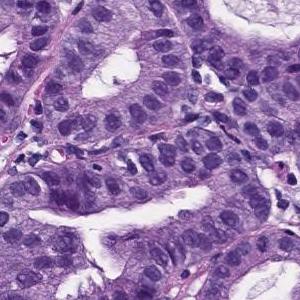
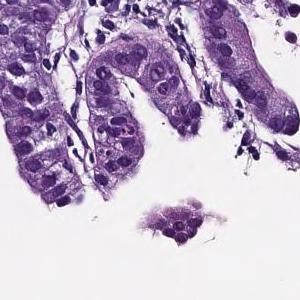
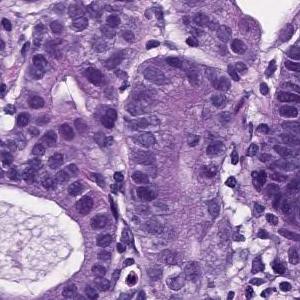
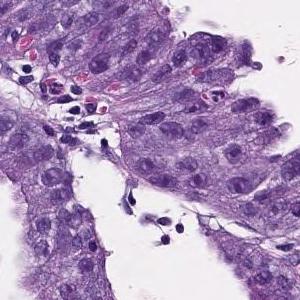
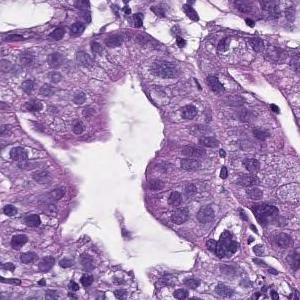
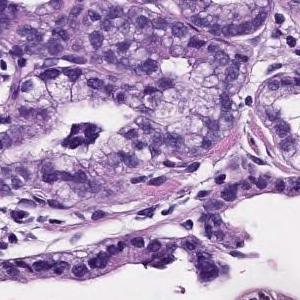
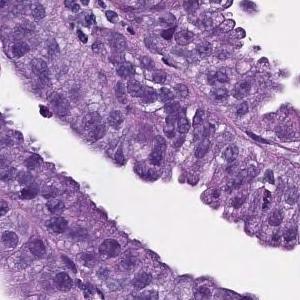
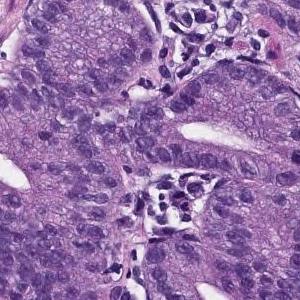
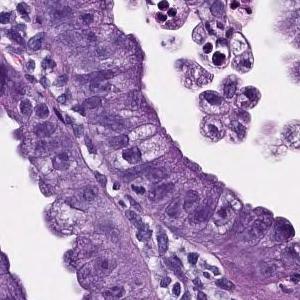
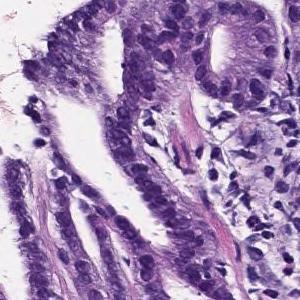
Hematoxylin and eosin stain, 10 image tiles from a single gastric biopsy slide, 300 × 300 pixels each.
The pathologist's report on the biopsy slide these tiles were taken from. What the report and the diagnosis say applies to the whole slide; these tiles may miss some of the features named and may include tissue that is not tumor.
On the superficial epithelium, tumor tissue that infiltrates by forming medium-sized papillary or small irregular ducts is observed. Papillary adenocarcinoma
